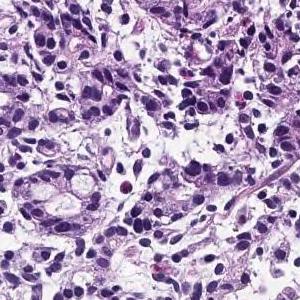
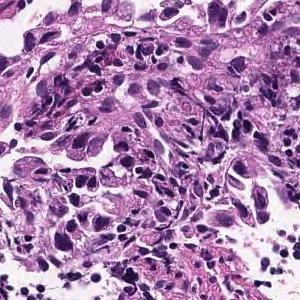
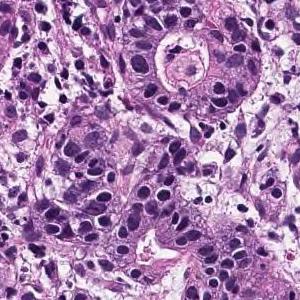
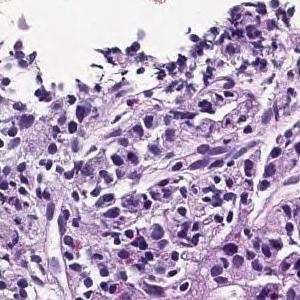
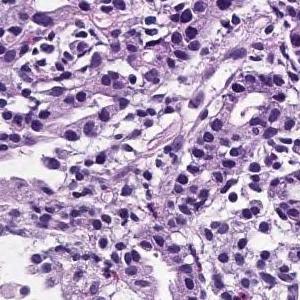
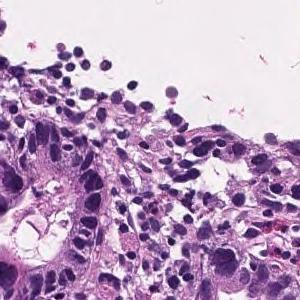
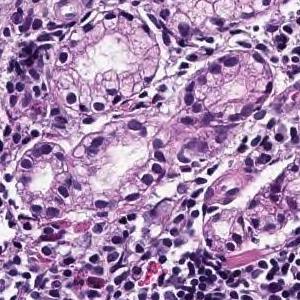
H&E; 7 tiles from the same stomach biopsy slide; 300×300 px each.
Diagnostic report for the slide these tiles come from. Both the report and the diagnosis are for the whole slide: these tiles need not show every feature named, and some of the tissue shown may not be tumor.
Tumor tissue consisting of cord-like or small, irregular glandular ducts fused and infiltrated is observed in the superficial epithelium. Poorly differentiated adenocarcinoma, non-solid type
"Non-solid type" is a category of the Japanese Classification of Gastric Carcinoma.
